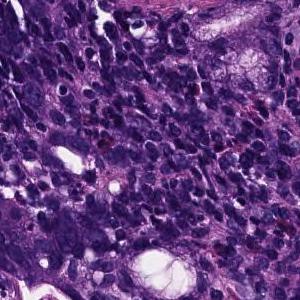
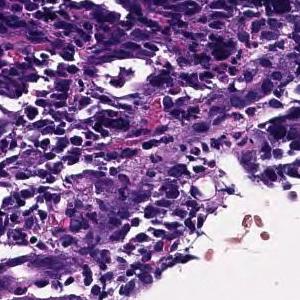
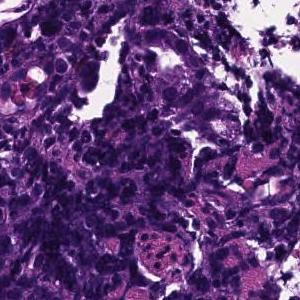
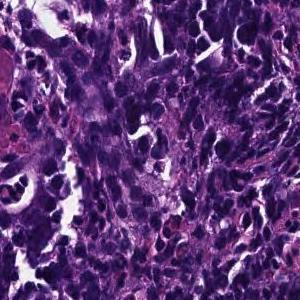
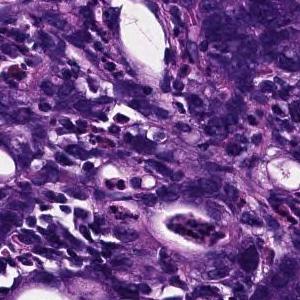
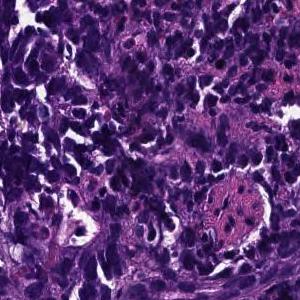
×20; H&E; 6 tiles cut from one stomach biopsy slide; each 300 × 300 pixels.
Report on the slide these tiles come from. The report and the diagnosis describe the slide as a whole, so these tiles may not show every feature named and may include non-tumor tissue.
In the superficial epithelium, tumor tissue that invades by forming medium-sized to small, irregular ducts is observed. moderately differentiated tubular adenocarcinoma.
